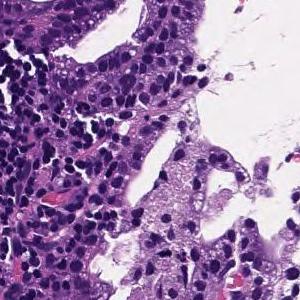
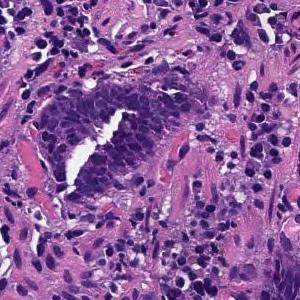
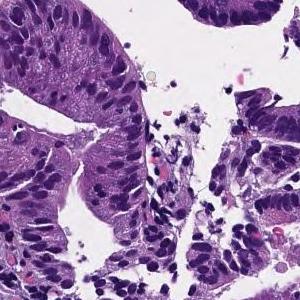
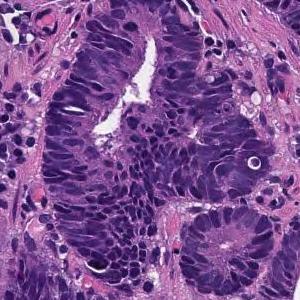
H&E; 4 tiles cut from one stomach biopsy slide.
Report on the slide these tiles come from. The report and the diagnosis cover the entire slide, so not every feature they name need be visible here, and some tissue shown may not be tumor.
From the superficial epithelium to the muscularis mucosae, tumor tissue consisting of medium-sized and irregular glandular ducts infiltrating is observed. Well differentiated tubular adenocarcinoma
